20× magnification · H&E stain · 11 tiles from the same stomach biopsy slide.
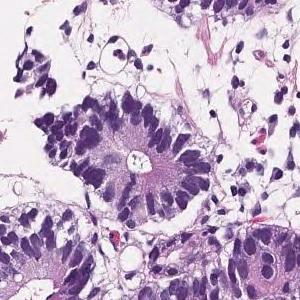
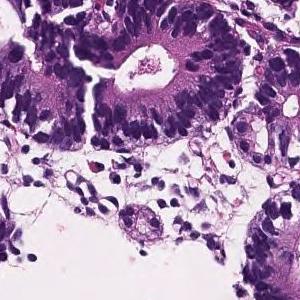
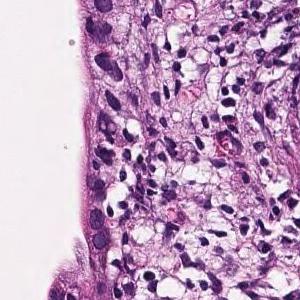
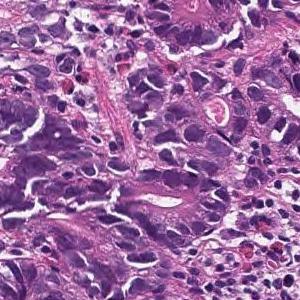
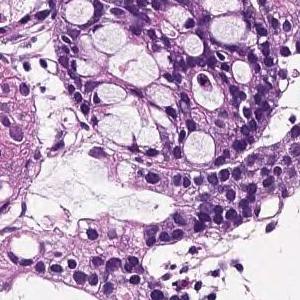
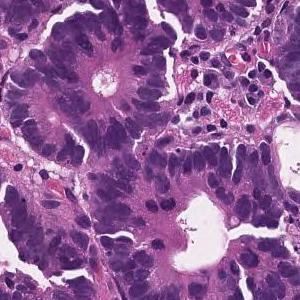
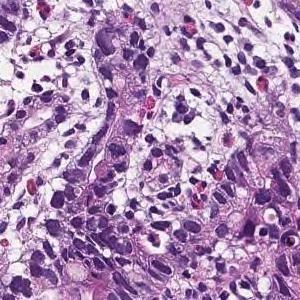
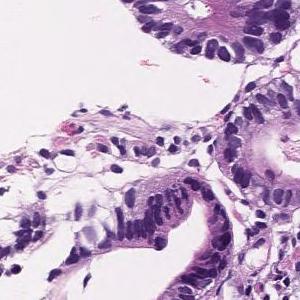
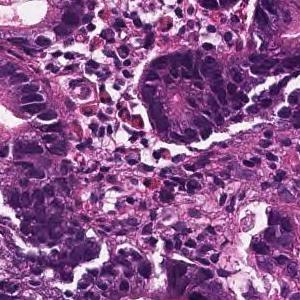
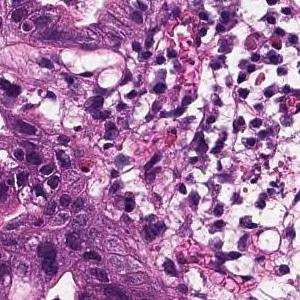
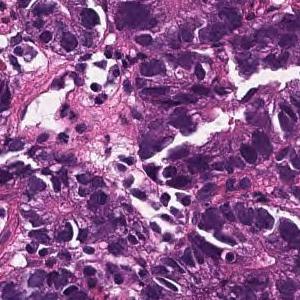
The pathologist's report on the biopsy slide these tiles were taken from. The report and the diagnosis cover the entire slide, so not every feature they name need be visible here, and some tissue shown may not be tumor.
On the superficial epithelium, tumor tissue consisting of large, irregular glandular ducts partially fused and infiltrated is observed. Well to moderately differentiated tubular adenocarcinoma (well differentiated tubular adenocarcinoma, moderately differentiated tubular adenocarcinoma)
Histological subtype: Well to moderately differentiated tubular adenocarcinoma.
